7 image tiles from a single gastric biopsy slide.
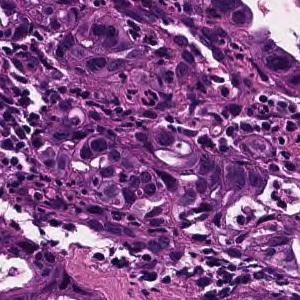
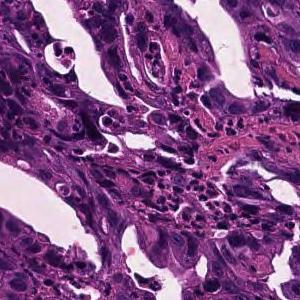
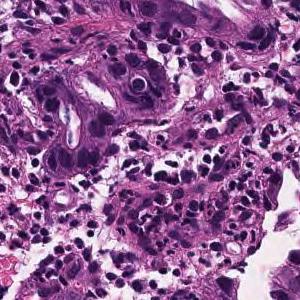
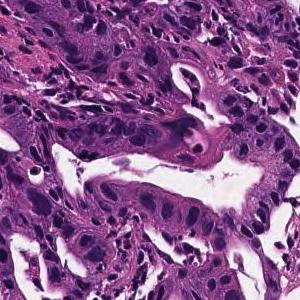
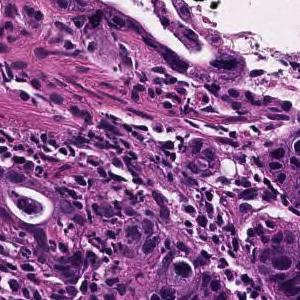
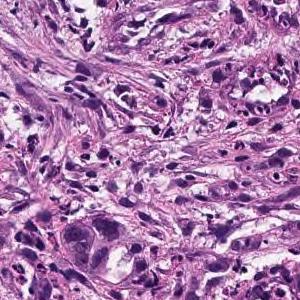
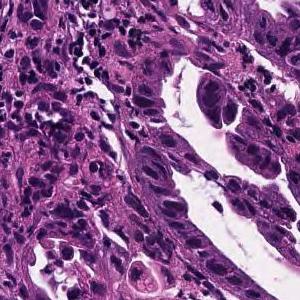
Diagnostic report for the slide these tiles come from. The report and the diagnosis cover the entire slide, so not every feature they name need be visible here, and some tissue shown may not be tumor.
In the superficial epithelium, medium-sized to small irregular glandular ducts are formed, and in some cases, the glandular ducts are fused or small cord-like infiltrating tumor tissue is observed. moderately differentiated tubular adenocarcinoma
